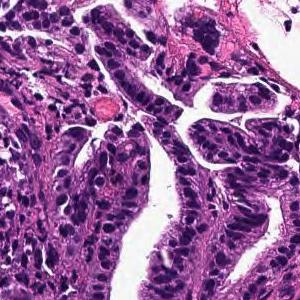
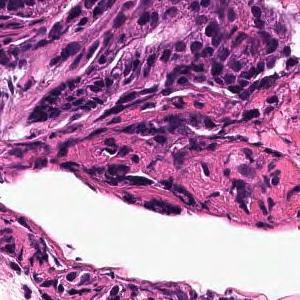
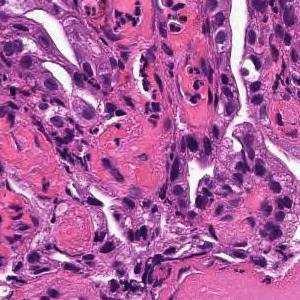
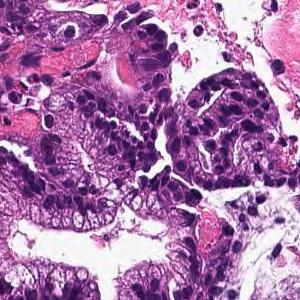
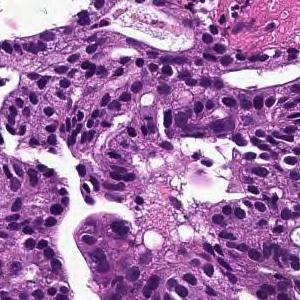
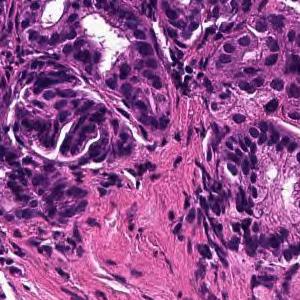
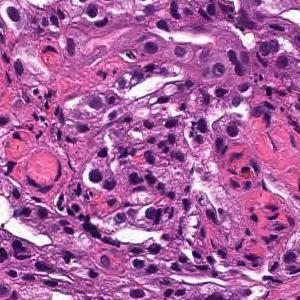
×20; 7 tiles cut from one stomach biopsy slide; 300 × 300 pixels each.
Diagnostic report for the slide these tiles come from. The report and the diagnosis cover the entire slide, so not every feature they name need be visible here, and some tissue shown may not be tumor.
From the superficial epithelium to the muscularis mucosae, tumor tissue consisting of medium-sized and irregular glandular ducts infiltrating is observed. Well differentiated tubular adenocarcinoma
